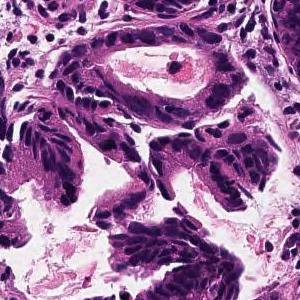
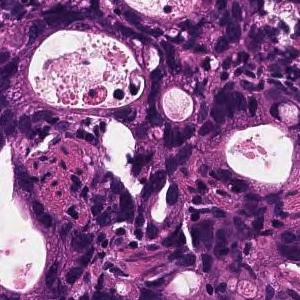
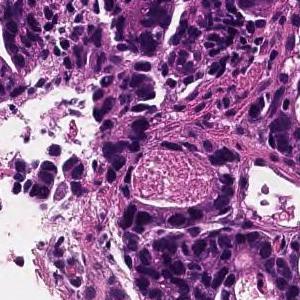
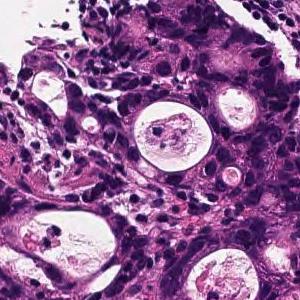
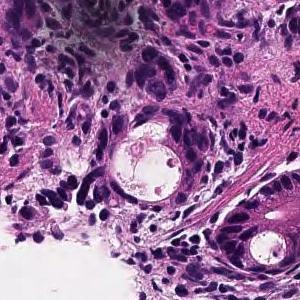
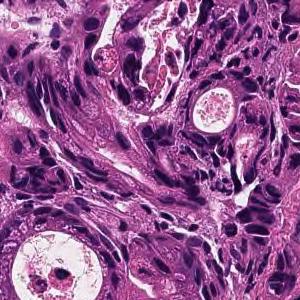
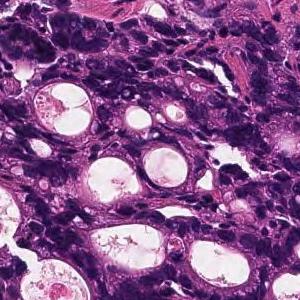
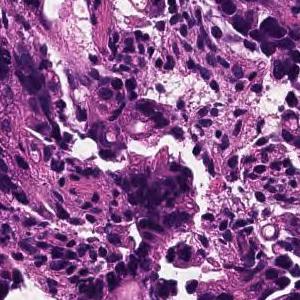
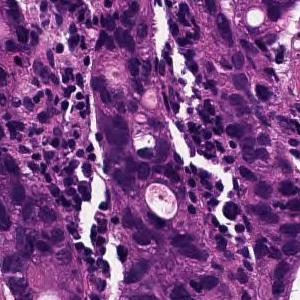
9 tiles from the same stomach biopsy slide · ×20 · H&E stain.
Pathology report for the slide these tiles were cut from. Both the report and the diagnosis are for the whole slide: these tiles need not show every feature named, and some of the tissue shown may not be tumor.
In the superficial epithelium, tumor tissue that invades by forming medium-sized to small, irregular ducts is observed. moderately differentiated tubular adenocarcinoma.
